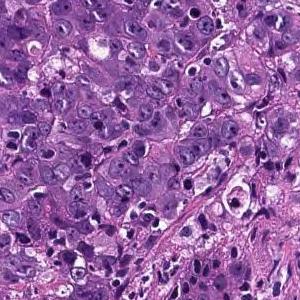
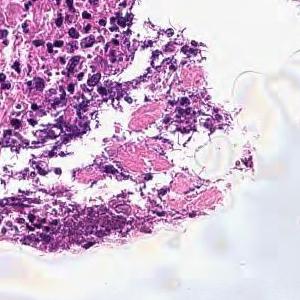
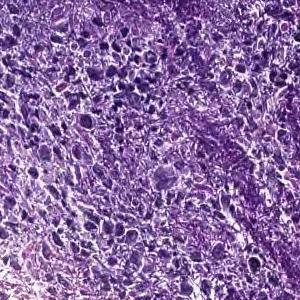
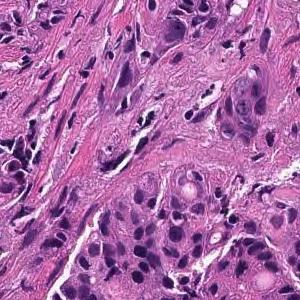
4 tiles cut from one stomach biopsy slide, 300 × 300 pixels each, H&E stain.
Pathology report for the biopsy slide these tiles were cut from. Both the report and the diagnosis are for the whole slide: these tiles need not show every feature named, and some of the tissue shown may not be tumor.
Cancers with polygonal nuclei do not show glandular formation and are densely, in part, cord-like and proliferate. Poorly differentiated adenocarcinoma
Histologic type: Poorly differentiated adenocarcinoma, non-solid type.
"Non-solid type" is a category of the Japanese Classification of Gastric Carcinoma.
